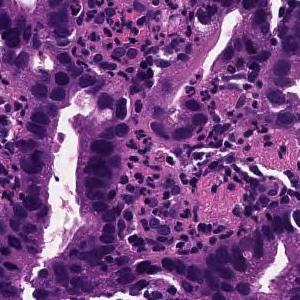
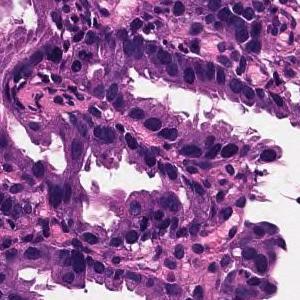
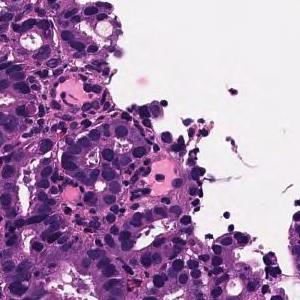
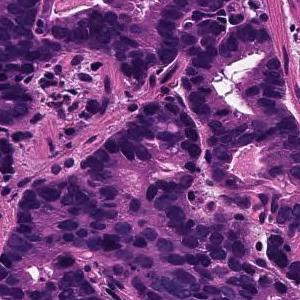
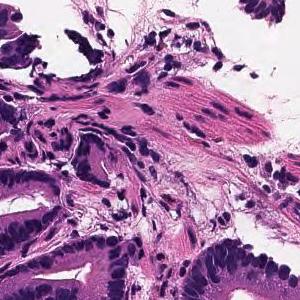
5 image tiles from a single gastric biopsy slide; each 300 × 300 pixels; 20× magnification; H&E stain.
Diagnostic report for the slide these tiles come from. Both the report and the diagnosis are for the whole slide: these tiles need not show every feature named, and some of the tissue shown may not be tumor.
On the superficial epithelium, tumor tissue is found in which medium-sized irregular gland ducts fuse with each other and infiltrate. moderately differentiated tubular adenocarcinoma
